5 patches cut from one gastric biopsy slide; 300 × 300 pixels each; H&E.
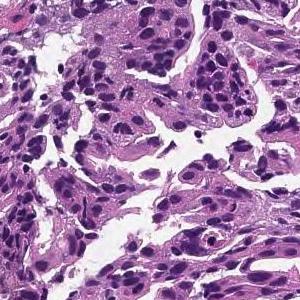
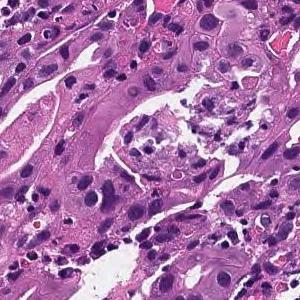
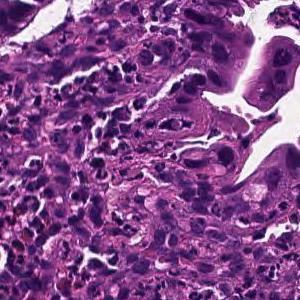
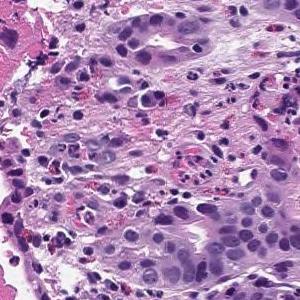
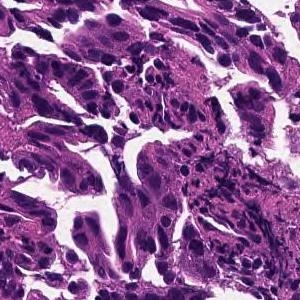
Report on the slide these tiles come from. The report and the diagnosis describe the slide as a whole, so these tiles may not show every feature named and may include non-tumor tissue.
In the superficial epithelium, tumor tissue that invades by forming medium-sized to small, irregular ducts is observed. moderately differentiated tubular adenocarcinoma.
